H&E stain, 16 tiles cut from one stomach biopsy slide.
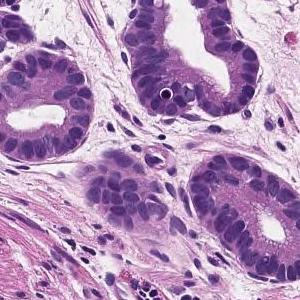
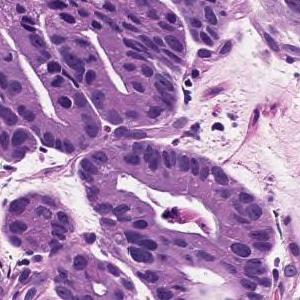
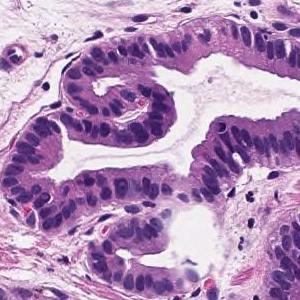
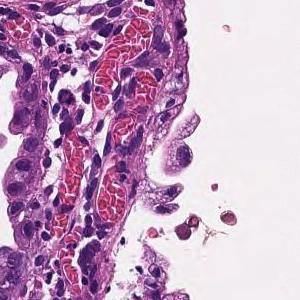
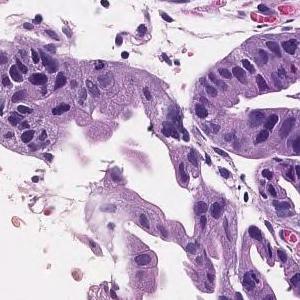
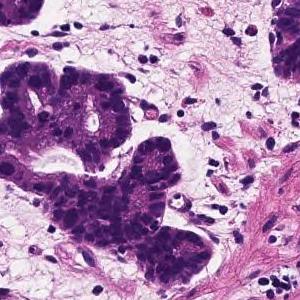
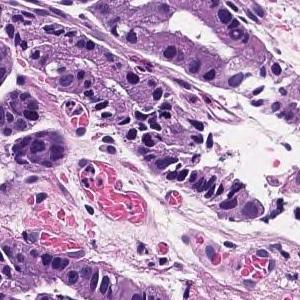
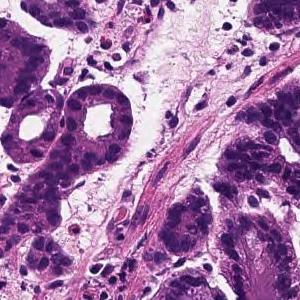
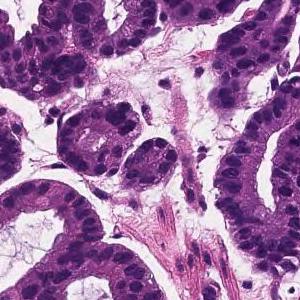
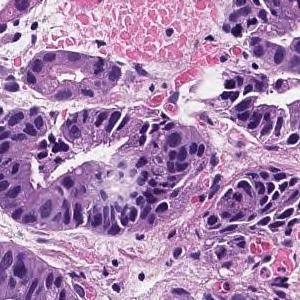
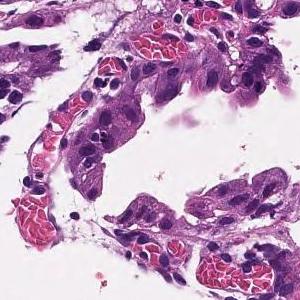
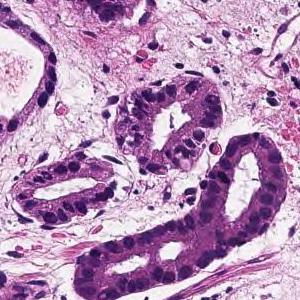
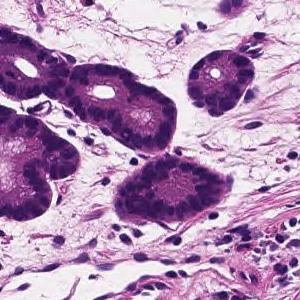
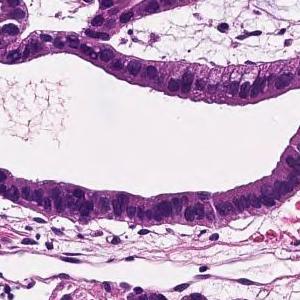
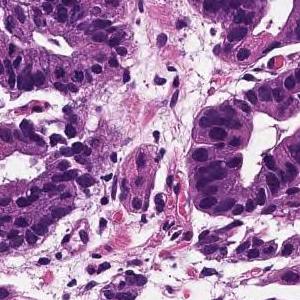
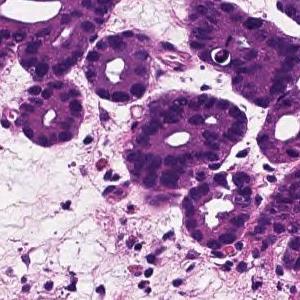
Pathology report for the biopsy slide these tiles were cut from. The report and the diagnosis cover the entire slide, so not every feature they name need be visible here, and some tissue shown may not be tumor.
Tumor cells are large, highly columnar, large club-shaped nuclei, and are associated with chromatin aggregation. Papillary adenocarcinoma.
